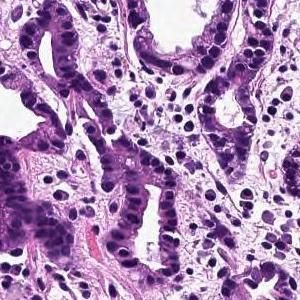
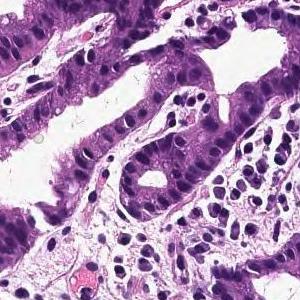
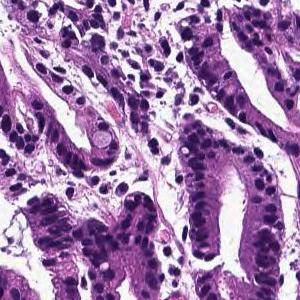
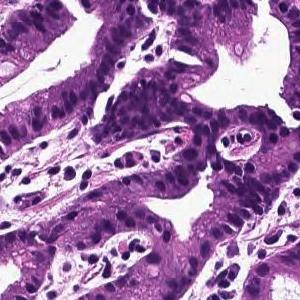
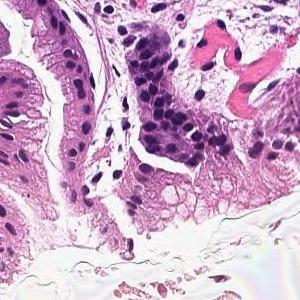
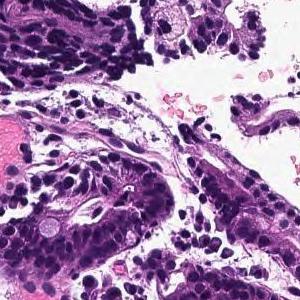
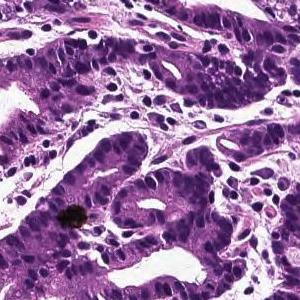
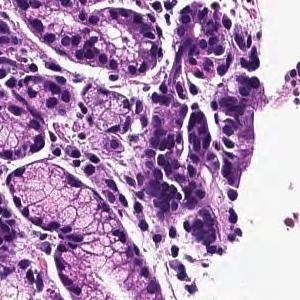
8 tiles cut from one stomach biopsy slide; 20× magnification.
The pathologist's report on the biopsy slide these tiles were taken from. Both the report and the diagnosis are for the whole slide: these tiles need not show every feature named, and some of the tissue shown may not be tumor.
In the superficial epithelium, tumor tissue that invades by forming medium-sized to small, irregular ducts is observed. moderately differentiated tubular adenocarcinoma.
